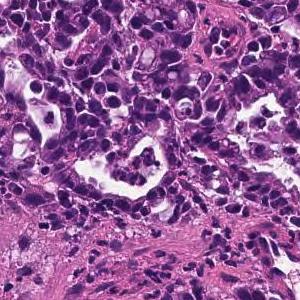
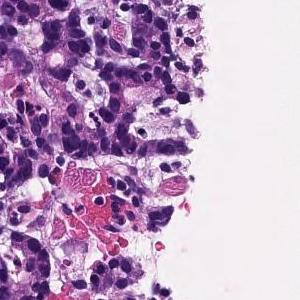
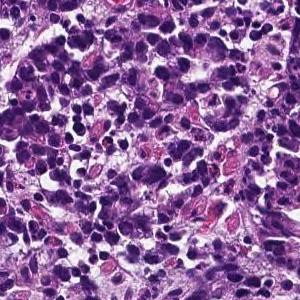
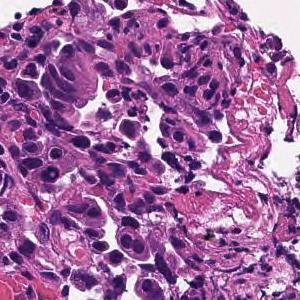
4 tiles cut from one stomach biopsy slide · 300 × 300 pixels each · H&E stain.
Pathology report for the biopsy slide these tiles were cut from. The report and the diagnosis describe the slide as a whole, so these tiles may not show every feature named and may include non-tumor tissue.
In the superficial epithelium, tumor tissue that invades by forming medium-sized to small, irregular ducts is observed. moderately differentiated tubular adenocarcinoma.
